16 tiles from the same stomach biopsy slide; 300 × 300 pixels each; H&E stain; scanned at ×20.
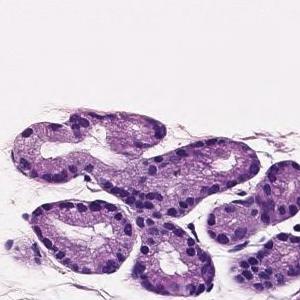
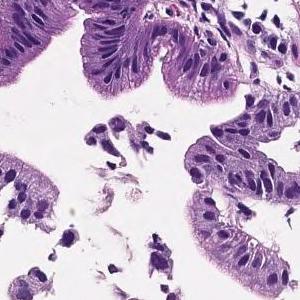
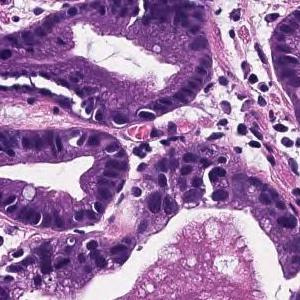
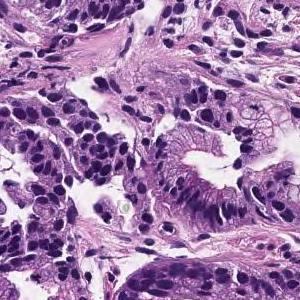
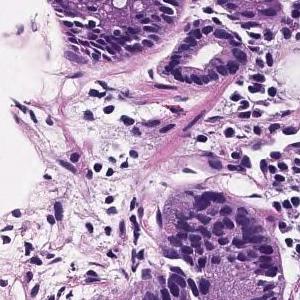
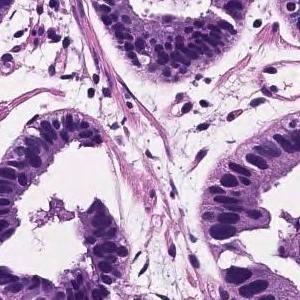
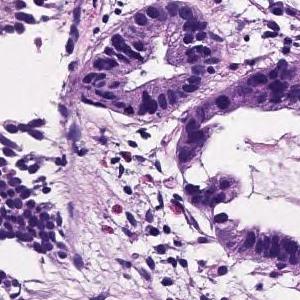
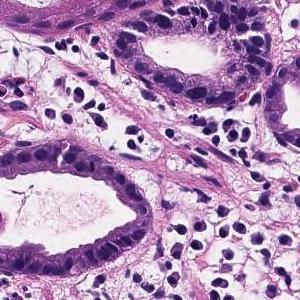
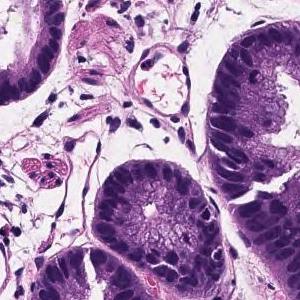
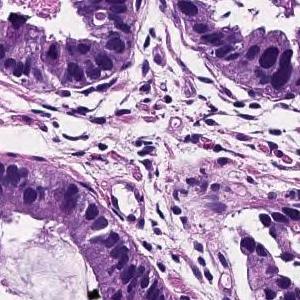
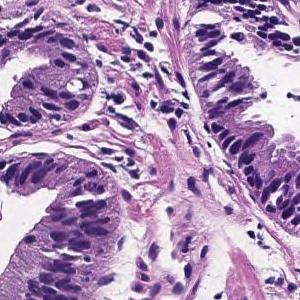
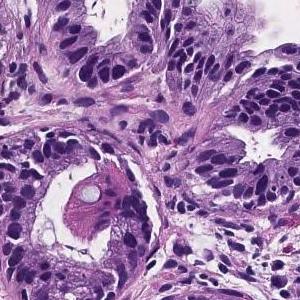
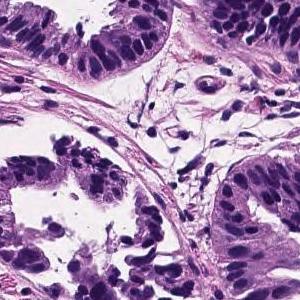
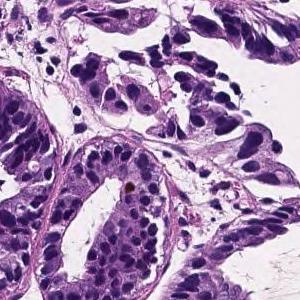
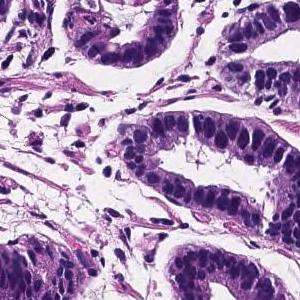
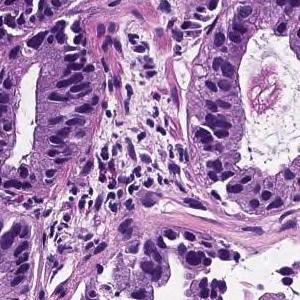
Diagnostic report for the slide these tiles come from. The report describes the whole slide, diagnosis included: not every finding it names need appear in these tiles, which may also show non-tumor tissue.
Tumor cells are large, highly columnar, large club-shaped nuclei, and are associated with chromatin aggregation. Papillary adenocarcinoma.
